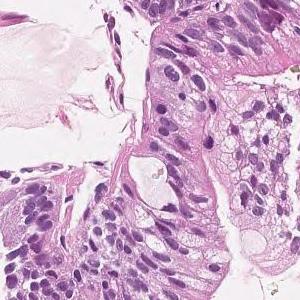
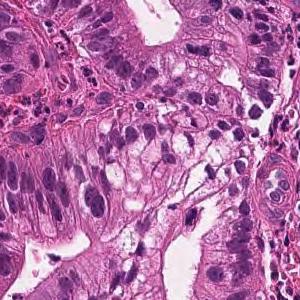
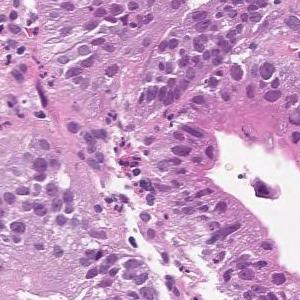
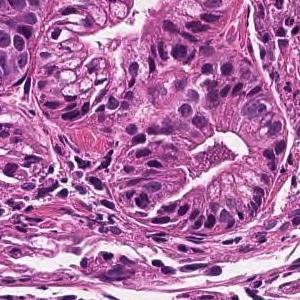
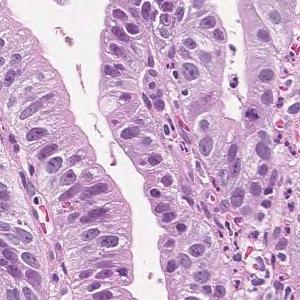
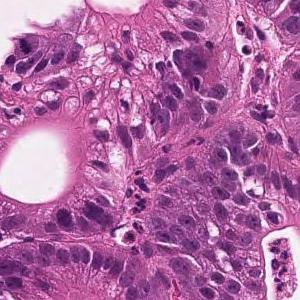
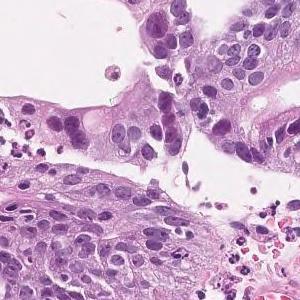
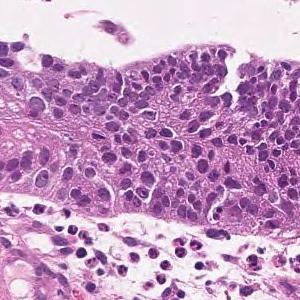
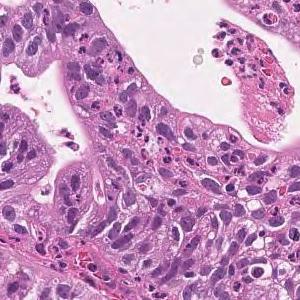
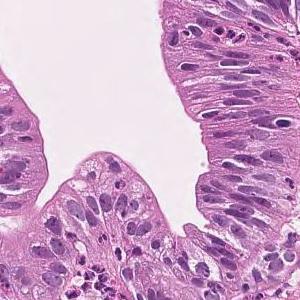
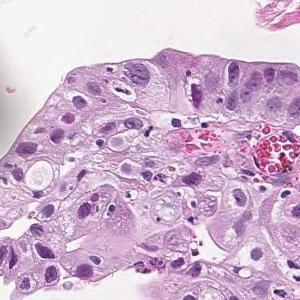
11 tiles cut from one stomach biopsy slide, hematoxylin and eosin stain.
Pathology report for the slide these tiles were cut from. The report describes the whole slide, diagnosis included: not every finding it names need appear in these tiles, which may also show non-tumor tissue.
Tumor cells are large, highly columnar, large club-shaped nuclei, and are associated with chromatin aggregation. Papillary adenocarcinoma.
